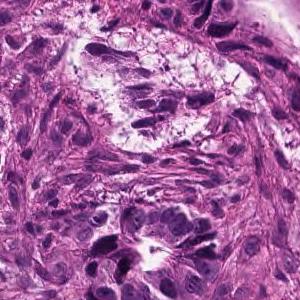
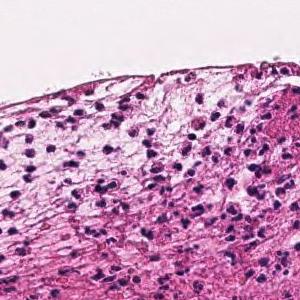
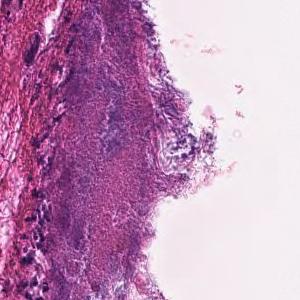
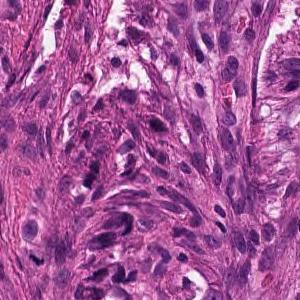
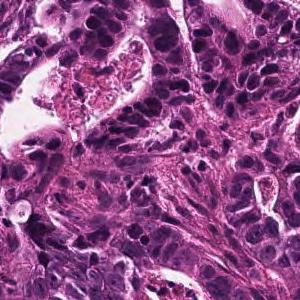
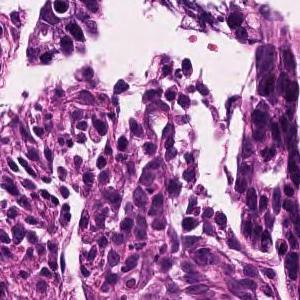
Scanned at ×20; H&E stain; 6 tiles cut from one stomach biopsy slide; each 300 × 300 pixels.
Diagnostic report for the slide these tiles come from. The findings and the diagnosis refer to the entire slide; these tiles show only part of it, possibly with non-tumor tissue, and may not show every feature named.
In the superficial epithelium, tumor tissue that invades by forming medium-sized to small, irregular ducts is observed. moderately differentiated tubular adenocarcinoma.
